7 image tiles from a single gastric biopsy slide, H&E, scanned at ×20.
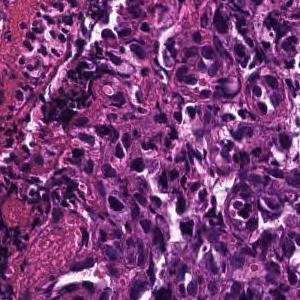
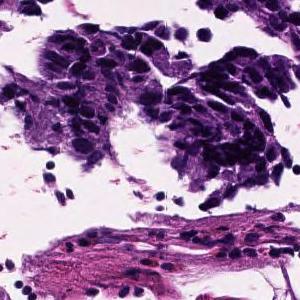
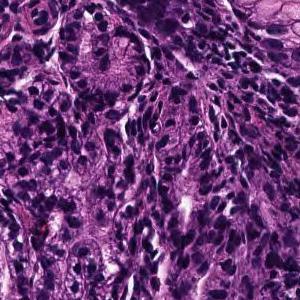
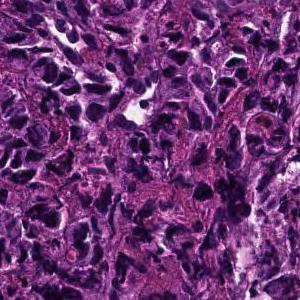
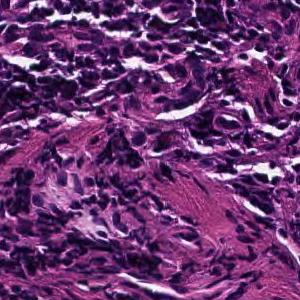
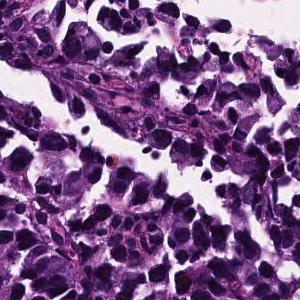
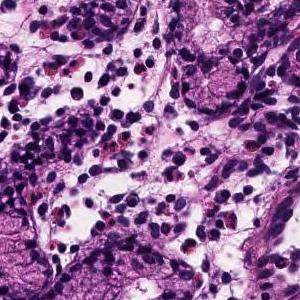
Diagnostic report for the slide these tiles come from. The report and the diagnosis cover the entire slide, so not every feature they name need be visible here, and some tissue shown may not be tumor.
The superficial epithelium shows a large sheet-like shape, and some tumor tissues infiltrate with a small cord-like structure. Poorly differentiated adenocarcinoma, solid type (poorly differentiated adenocarcinoma, solid type)
Subtype: Poorly differentiated adenocarcinoma, solid type. This name comes from the Japanese Classification of Gastric Carcinoma; the WHO 2019 classification calls it tubular adenocarcinoma, poorly differentiated.
